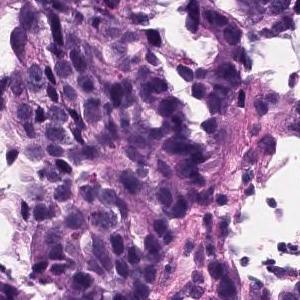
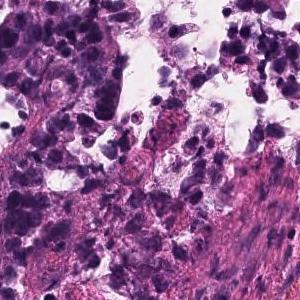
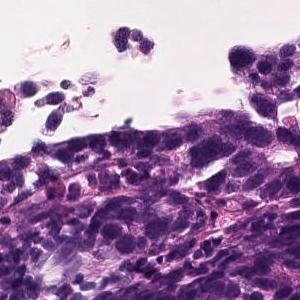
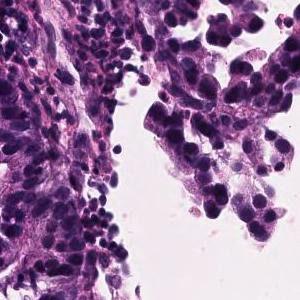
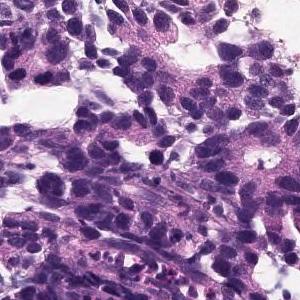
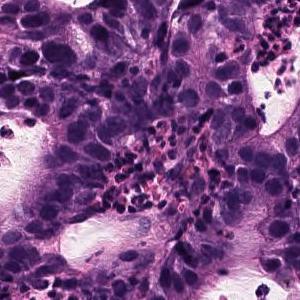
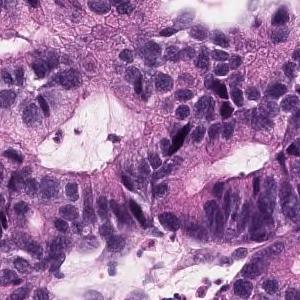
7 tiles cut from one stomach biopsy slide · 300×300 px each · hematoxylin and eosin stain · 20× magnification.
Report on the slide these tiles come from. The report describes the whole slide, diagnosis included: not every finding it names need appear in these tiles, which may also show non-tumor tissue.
In the superficial epithelium, tumor tissue that invades by forming medium-sized to small, irregular ducts is observed. moderately differentiated tubular adenocarcinoma.
